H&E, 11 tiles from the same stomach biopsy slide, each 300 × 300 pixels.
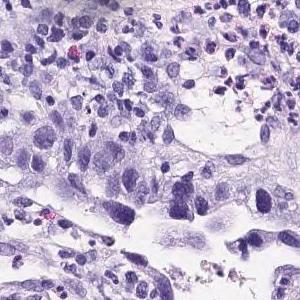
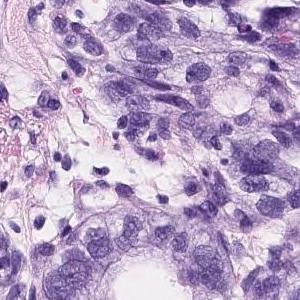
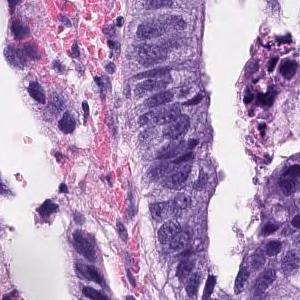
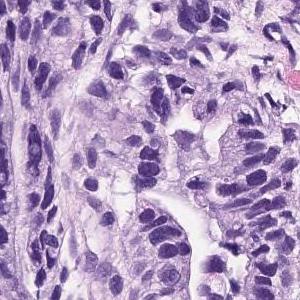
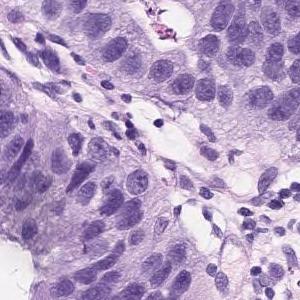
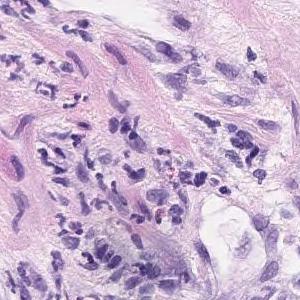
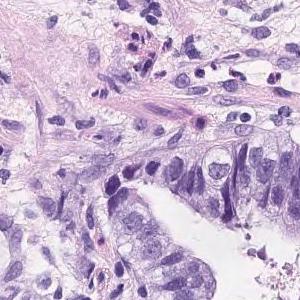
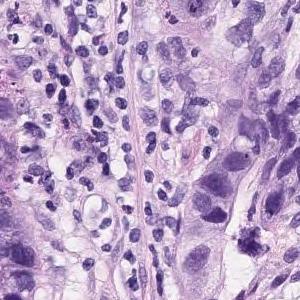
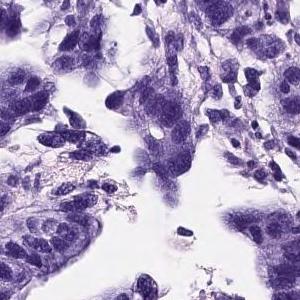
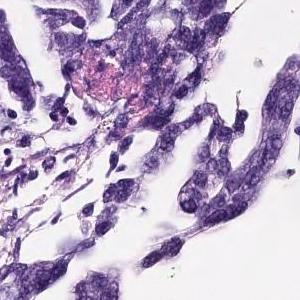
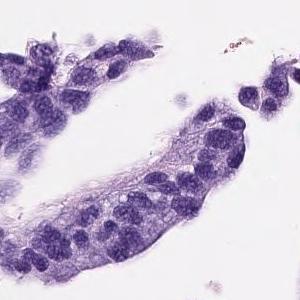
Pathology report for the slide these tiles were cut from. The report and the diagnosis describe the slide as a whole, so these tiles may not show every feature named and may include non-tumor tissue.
On the superficial epithelium, tumor tissue consisting of medium to small irregular tubules partially fused and proliferated is observed. moderately differentiated tubular adenocarcinoma
